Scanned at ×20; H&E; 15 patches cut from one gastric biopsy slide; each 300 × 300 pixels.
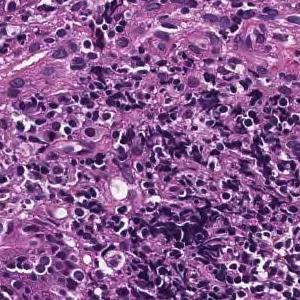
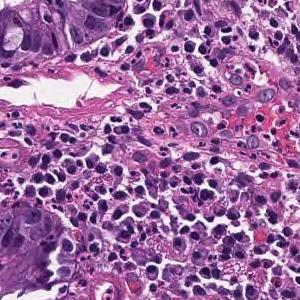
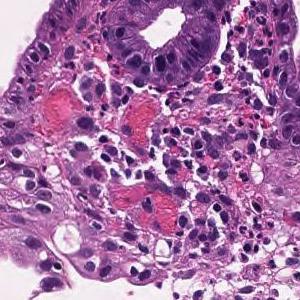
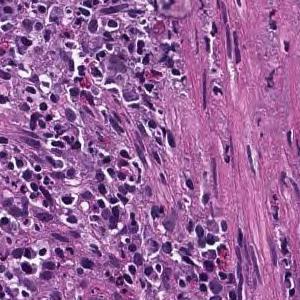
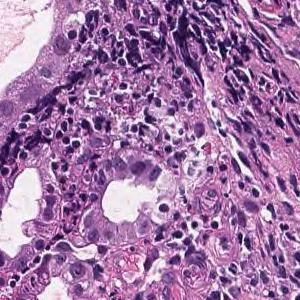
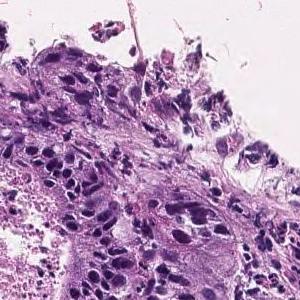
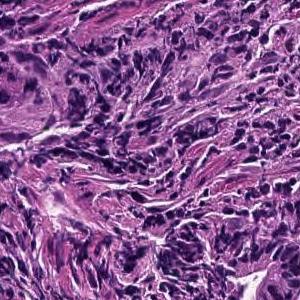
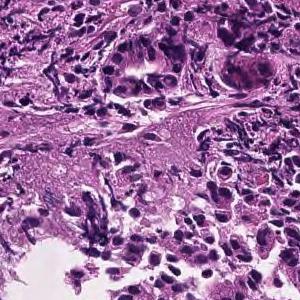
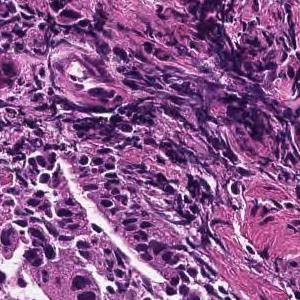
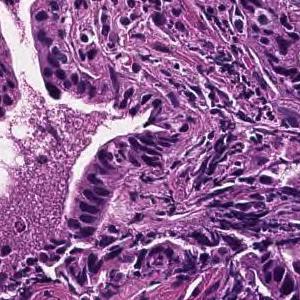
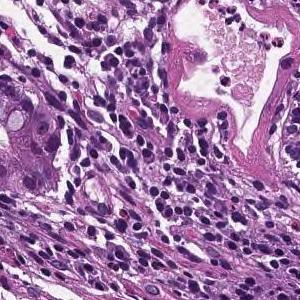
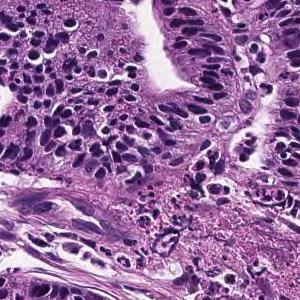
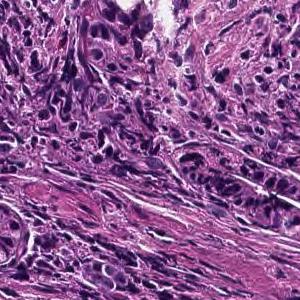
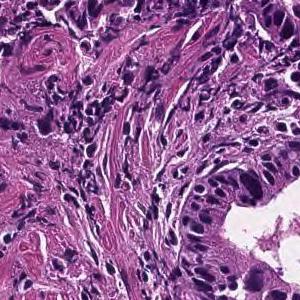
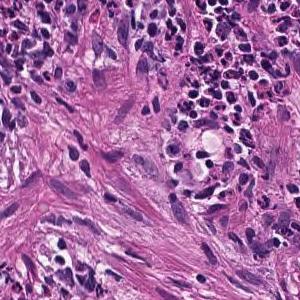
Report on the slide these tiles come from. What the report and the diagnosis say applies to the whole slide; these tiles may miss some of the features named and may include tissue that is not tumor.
On the superficial epithelium, tumor tissue consisting of large, irregular glandular ducts partially fused and infiltrated is observed. Well to moderately differentiated tubular adenocarcinoma (well differentiated tubular adenocarcinoma, moderately differentiated tubular adenocarcinoma)
Histological subtype: Well to moderately differentiated tubular adenocarcinoma.
